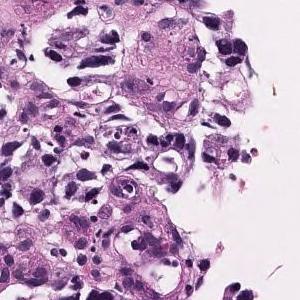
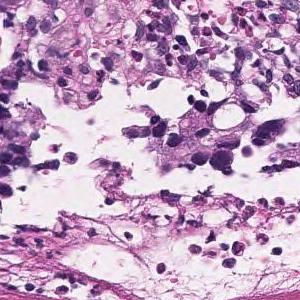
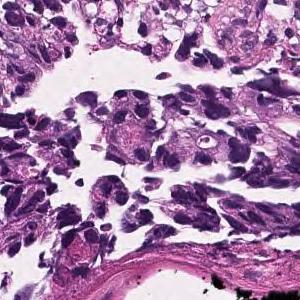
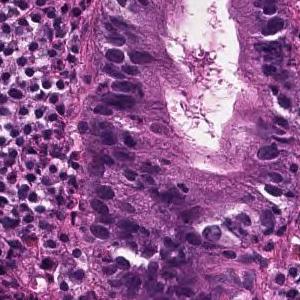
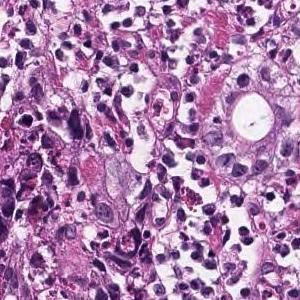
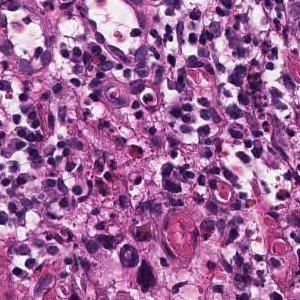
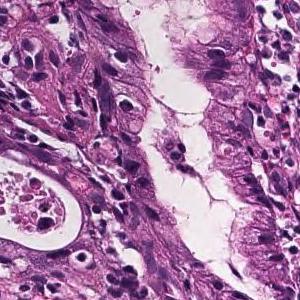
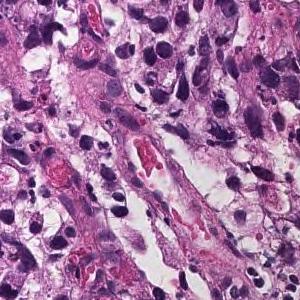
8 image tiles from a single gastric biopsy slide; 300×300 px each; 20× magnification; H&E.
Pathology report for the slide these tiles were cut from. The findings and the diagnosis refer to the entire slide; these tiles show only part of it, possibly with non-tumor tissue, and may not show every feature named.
Tumor tissue consisting of medium-sized, cord-like or irregular glandular infiltration is observed in the superficial epithelium. Poorly differentiated adenocarcinoma, non-solid type or moderately differentiated tubular adenocarcinoma
The term "non-solid type" comes from the Japanese Classification of Gastric Carcinoma.
